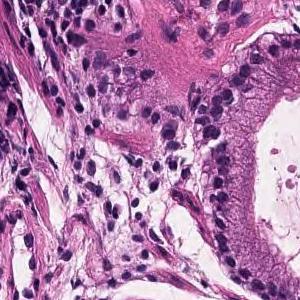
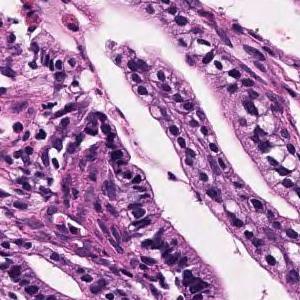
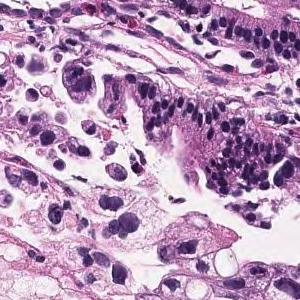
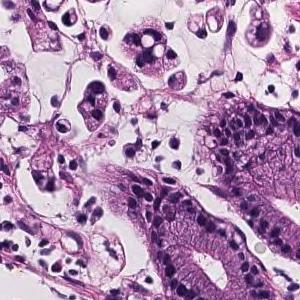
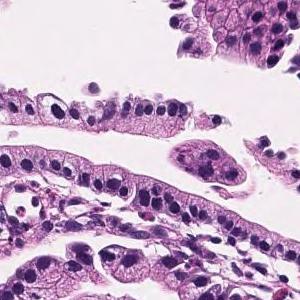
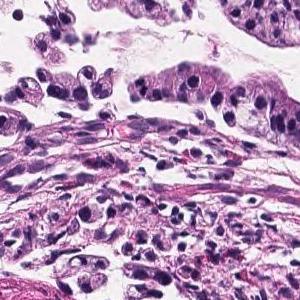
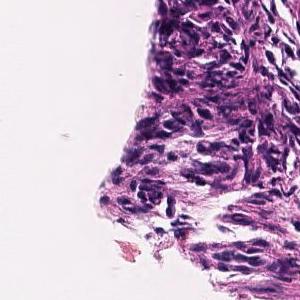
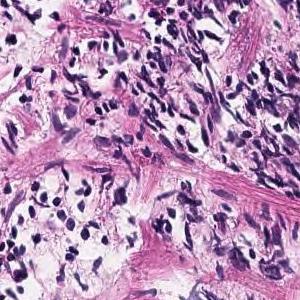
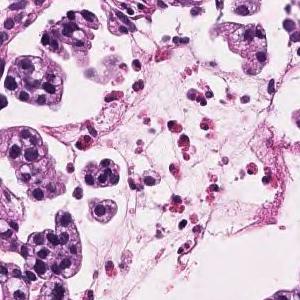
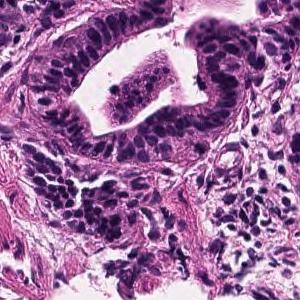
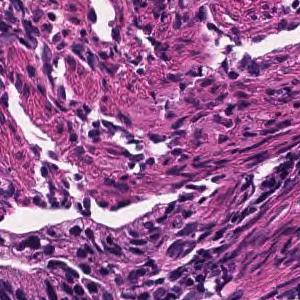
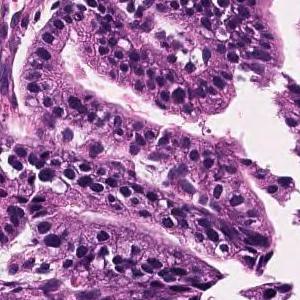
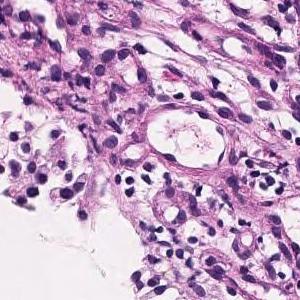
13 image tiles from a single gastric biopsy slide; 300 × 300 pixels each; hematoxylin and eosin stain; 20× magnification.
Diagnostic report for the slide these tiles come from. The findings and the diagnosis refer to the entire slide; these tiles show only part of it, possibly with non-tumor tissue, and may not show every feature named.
Tumor tissue consisting of large papillary structures or irregular glandular ducts partially fused and infiltrated is observed in the superficial epithelium. Well to moderately differentiated tubular adenocarcinoma.
The dataset labels this slide moderately differentiated tubular adenocarcinoma.
